×20, H&E, 16 tiles cut from one stomach biopsy slide.
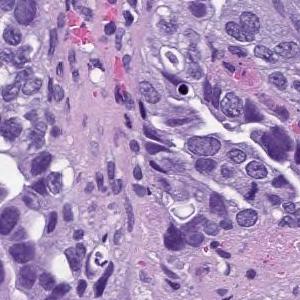
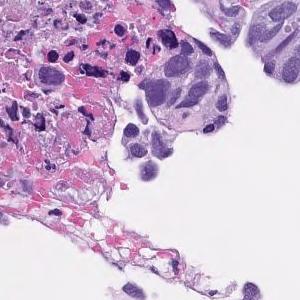
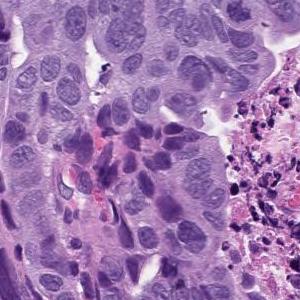
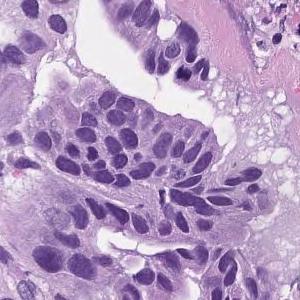
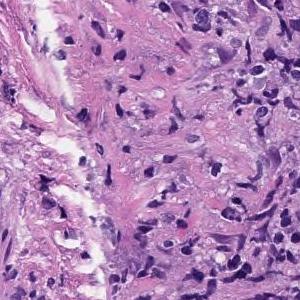
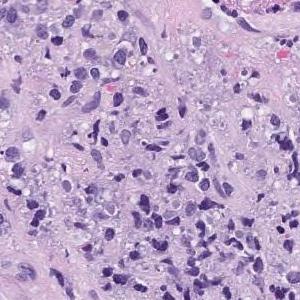
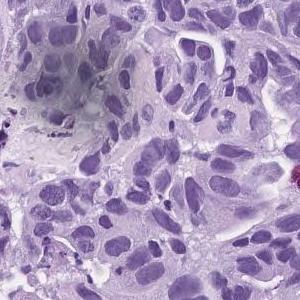
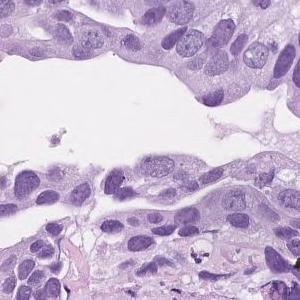
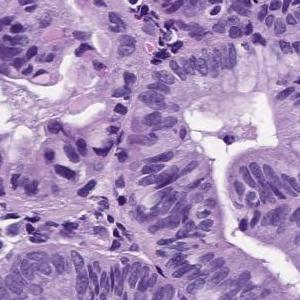
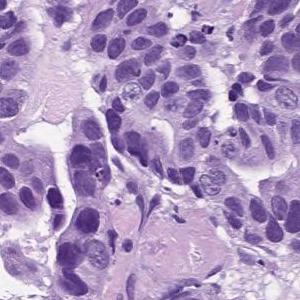
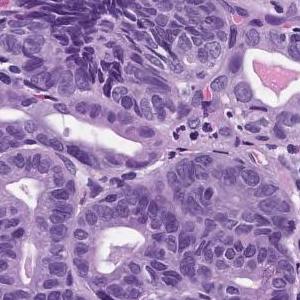
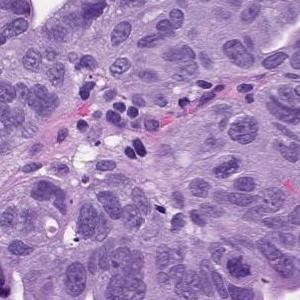
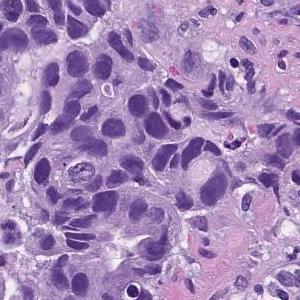
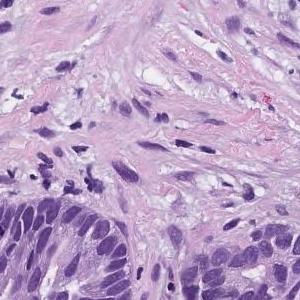
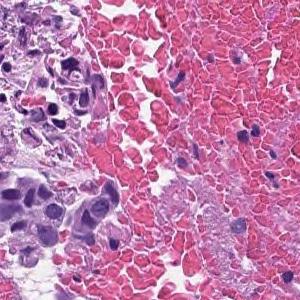
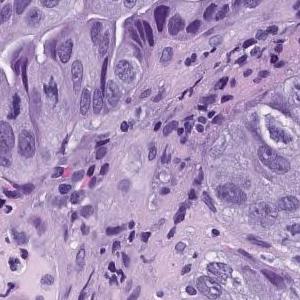
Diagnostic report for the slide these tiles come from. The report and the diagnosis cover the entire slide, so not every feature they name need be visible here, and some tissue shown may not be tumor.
In the superficial epithelium, tumor tissue that invades by forming medium-sized to small, irregular ducts is observed. moderately differentiated tubular adenocarcinoma.
